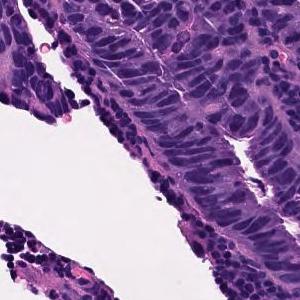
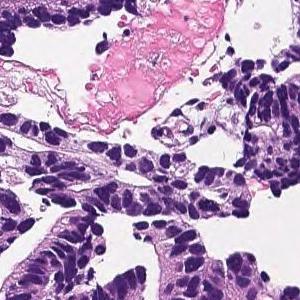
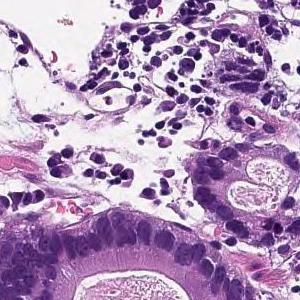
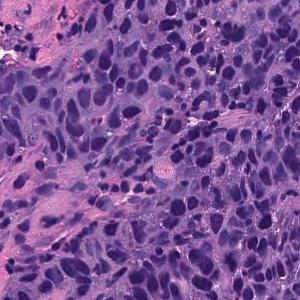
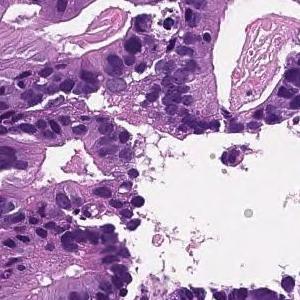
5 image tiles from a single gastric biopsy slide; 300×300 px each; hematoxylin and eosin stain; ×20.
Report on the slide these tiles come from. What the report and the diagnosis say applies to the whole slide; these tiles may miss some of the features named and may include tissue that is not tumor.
In the superficial epithelium, tumor tissue that invades by forming medium-sized to small, irregular ducts is observed. moderately differentiated tubular adenocarcinoma.
